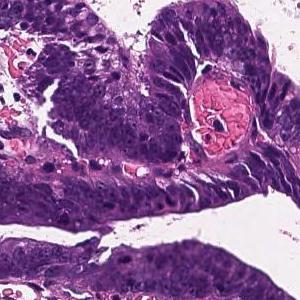
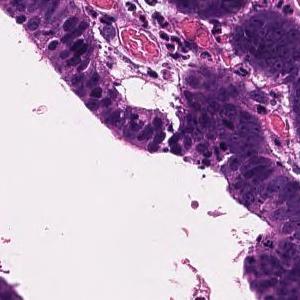
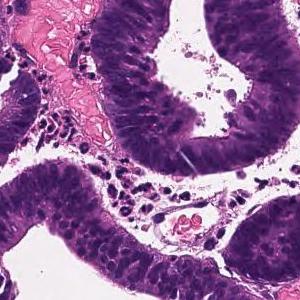
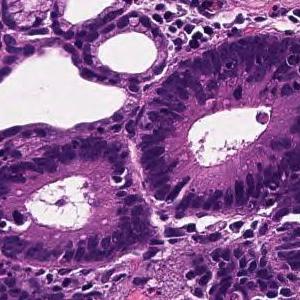
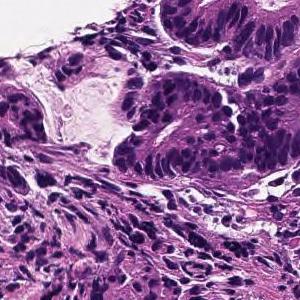
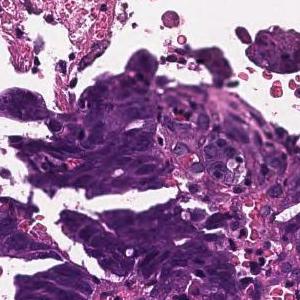
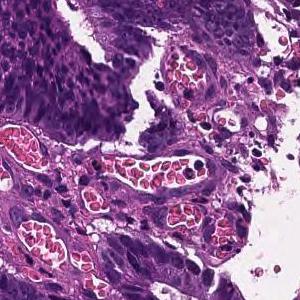
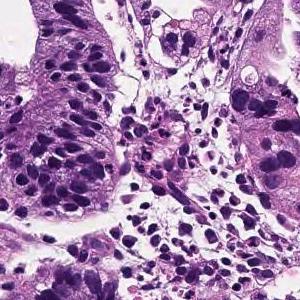
8 patches cut from one gastric biopsy slide; H&E stain; scanned at ×20.
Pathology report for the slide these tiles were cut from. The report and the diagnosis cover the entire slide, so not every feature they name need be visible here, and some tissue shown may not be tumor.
Tumor tissue consisting of large papillary structures is found in the superficial epithelium. Papillary adenocarcinoma.
